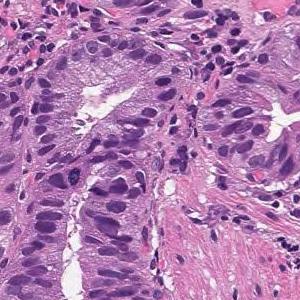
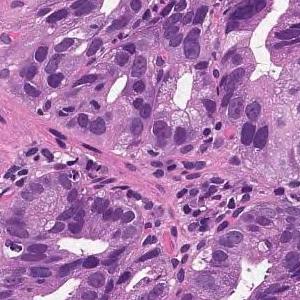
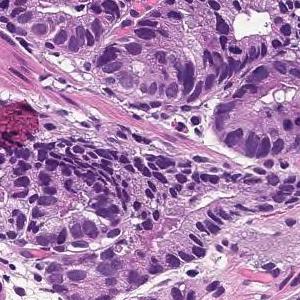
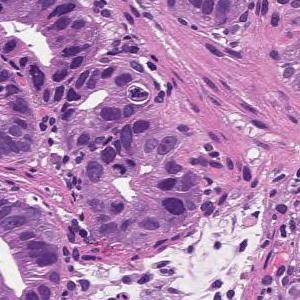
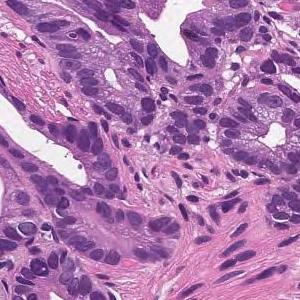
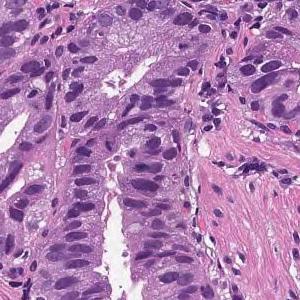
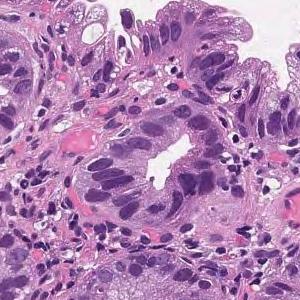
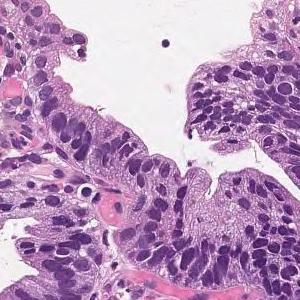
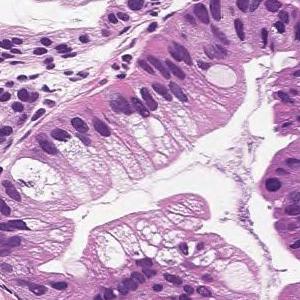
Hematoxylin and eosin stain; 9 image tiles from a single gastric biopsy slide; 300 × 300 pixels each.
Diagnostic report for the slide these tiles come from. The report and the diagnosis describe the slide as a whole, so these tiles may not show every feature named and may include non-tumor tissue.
On the superficial epithelium, tumor tissue consisting of large irregular glandular ducts partially fused and infiltrated is observed. Well to moderately differentiated tubular adenocarcinoma (well differentiated tubular adenocarcinoma, moderately differentiated tubular adenocarcinoma)
Tumor subtype: well to moderately differentiated tubular adenocarcinoma.
